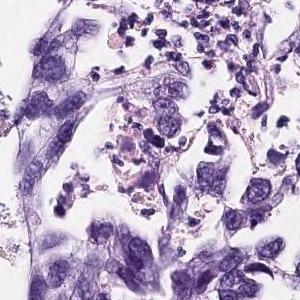
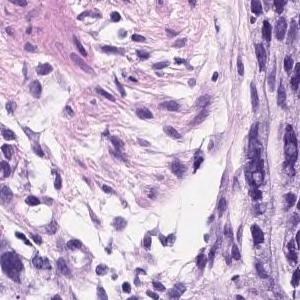
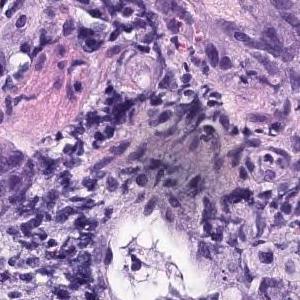
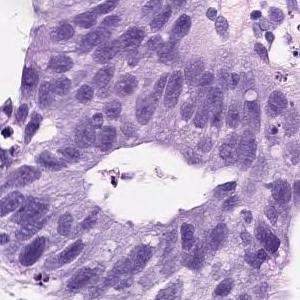
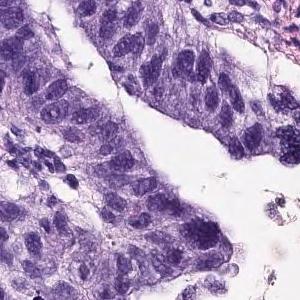
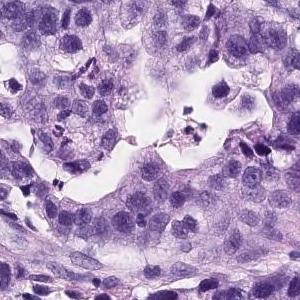
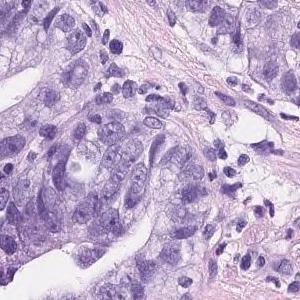
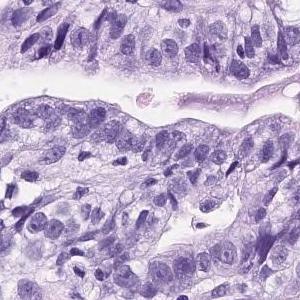
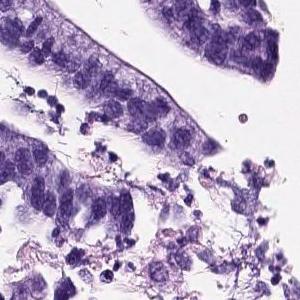
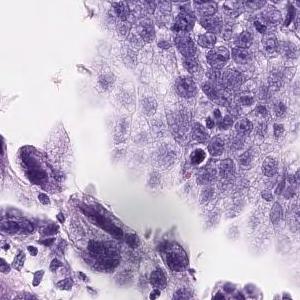
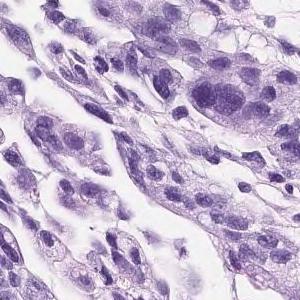
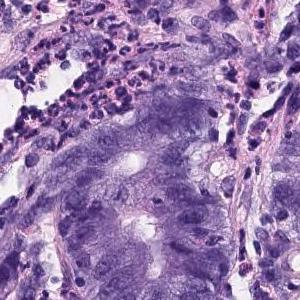
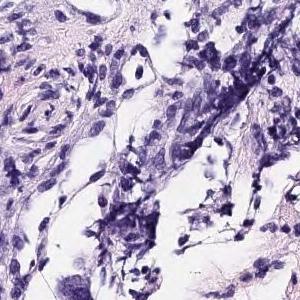
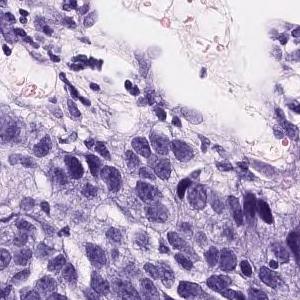
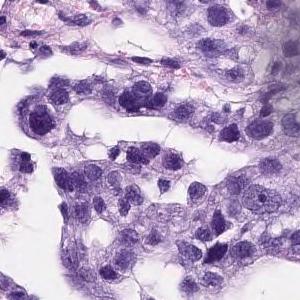
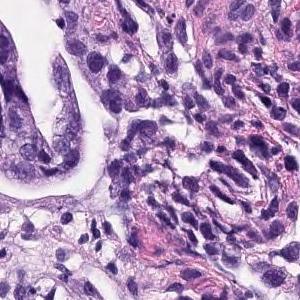
16 patches cut from one gastric biopsy slide; 300 × 300 pixels each; H&E; 20× magnification.
Pathology report for the biopsy slide these tiles were cut from. The report describes the whole slide, diagnosis included: not every finding it names need appear in these tiles, which may also show non-tumor tissue.
On the superficial epithelium, tumor tissue consisting of medium to small irregular tubules partially fused and proliferated is observed. moderately differentiated tubular adenocarcinoma
